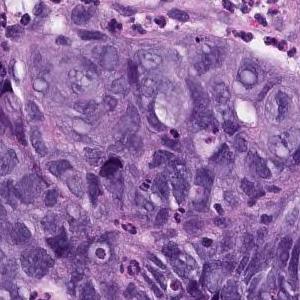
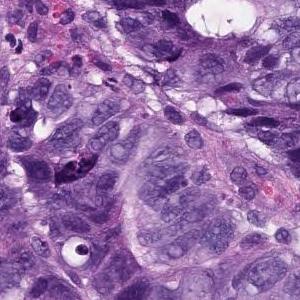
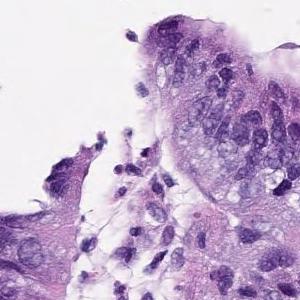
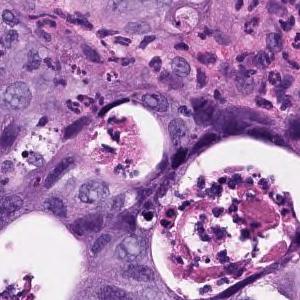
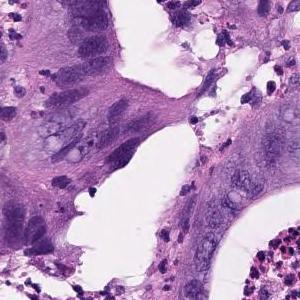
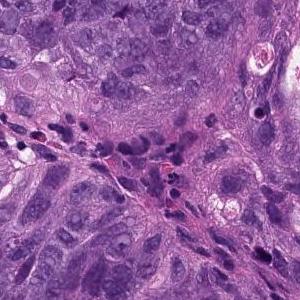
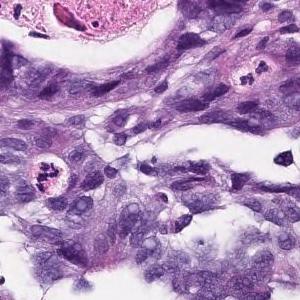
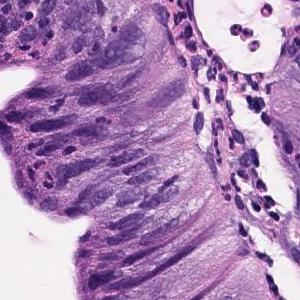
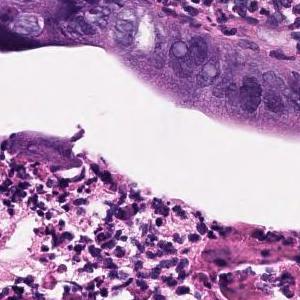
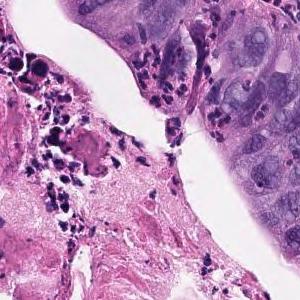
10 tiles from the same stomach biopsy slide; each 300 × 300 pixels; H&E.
Report on the slide these tiles come from. Both the report and the diagnosis are for the whole slide: these tiles need not show every feature named, and some of the tissue shown may not be tumor.
In the superficial epithelium, tumor tissue that invades by forming medium-sized to small, irregular ducts is observed. Moderately differentiated adenocarcinoma.
Histologic type: Moderately differentiated tubular adenocarcinoma.
